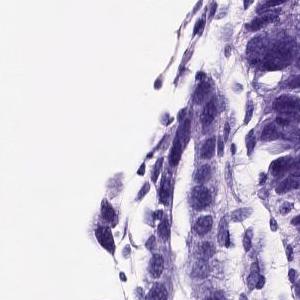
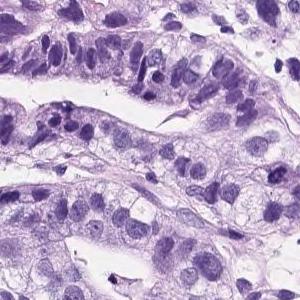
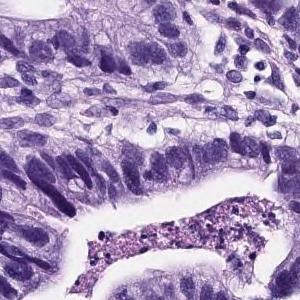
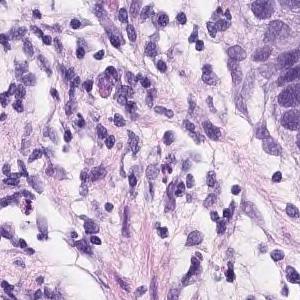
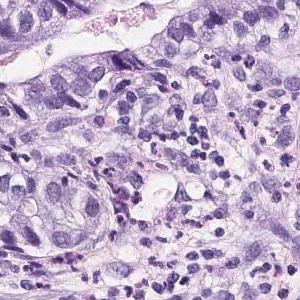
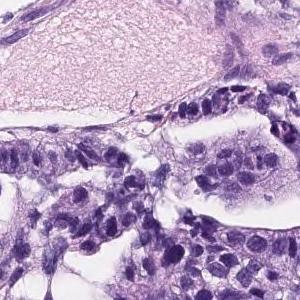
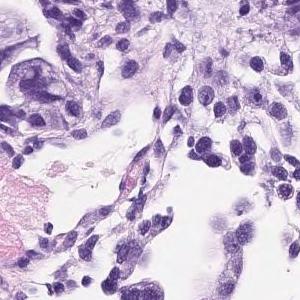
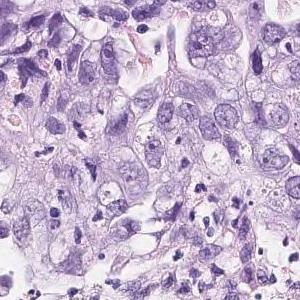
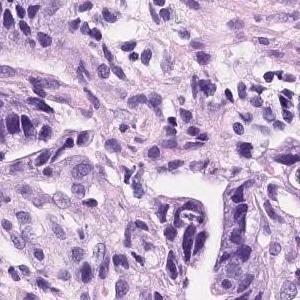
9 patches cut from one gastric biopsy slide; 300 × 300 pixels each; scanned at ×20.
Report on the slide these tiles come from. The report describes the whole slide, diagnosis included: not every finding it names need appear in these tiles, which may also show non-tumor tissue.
On the superficial epithelium, tumor tissue consisting of medium to small irregular tubules partially fused and proliferated is observed. moderately differentiated tubular adenocarcinoma
